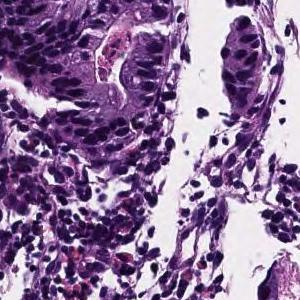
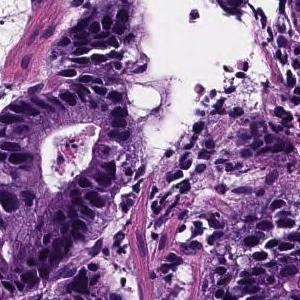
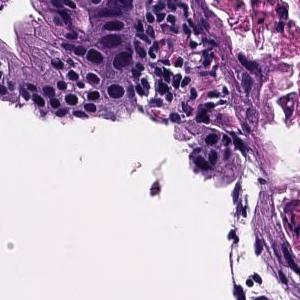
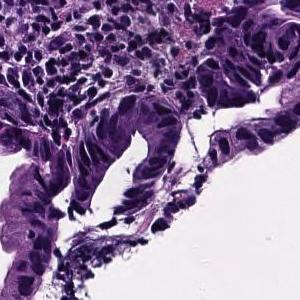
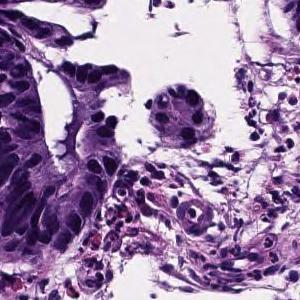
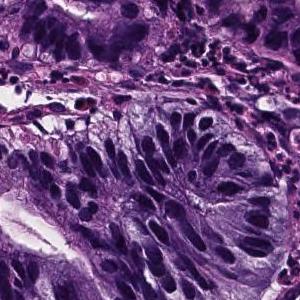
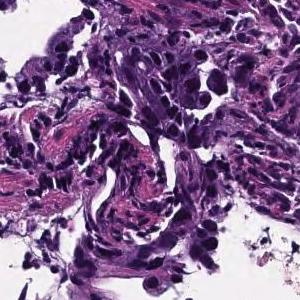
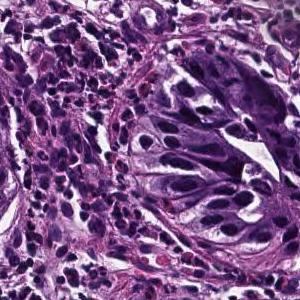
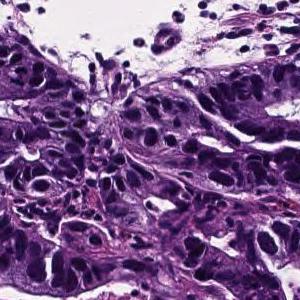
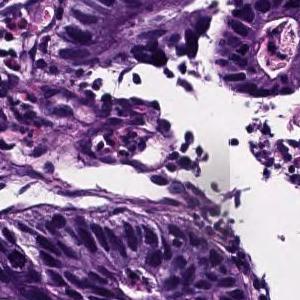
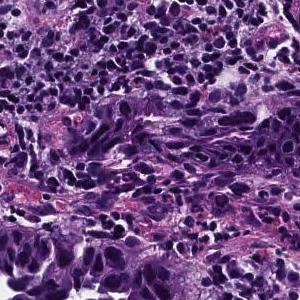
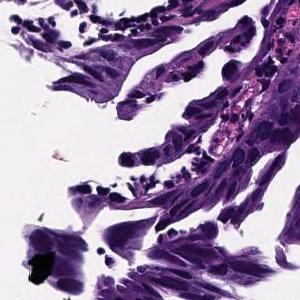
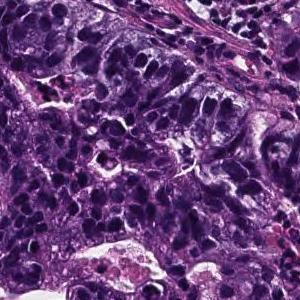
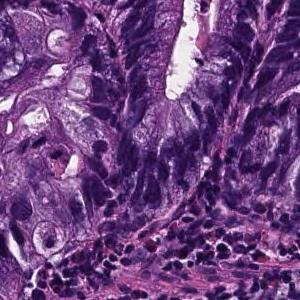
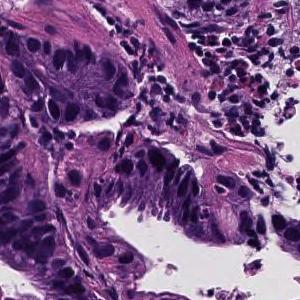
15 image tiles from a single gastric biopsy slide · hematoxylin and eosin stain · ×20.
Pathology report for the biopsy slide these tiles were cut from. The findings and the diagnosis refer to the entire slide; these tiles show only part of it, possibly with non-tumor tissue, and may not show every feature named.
In the superficial epithelium, tumor tissue that invades by forming medium-sized to small, irregular ducts is observed. Moderately differentiated adenocarcinoma.
Classified as moderately differentiated tubular adenocarcinoma.
